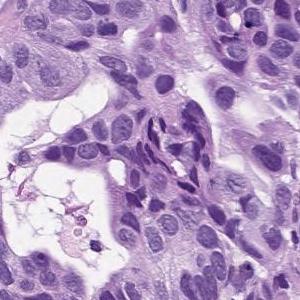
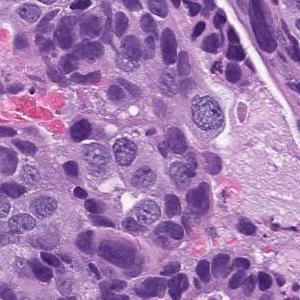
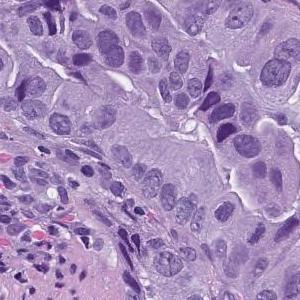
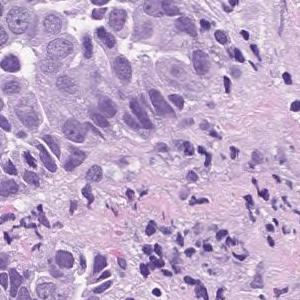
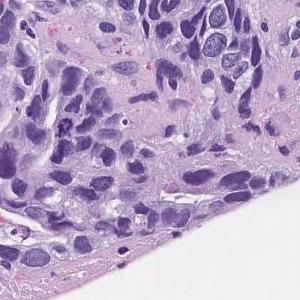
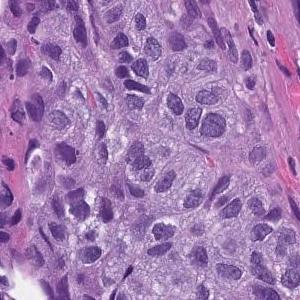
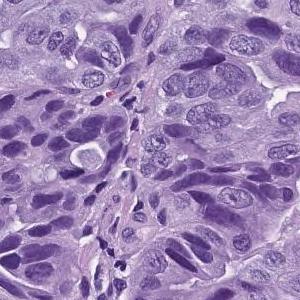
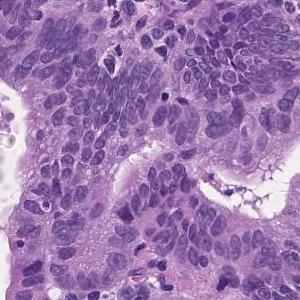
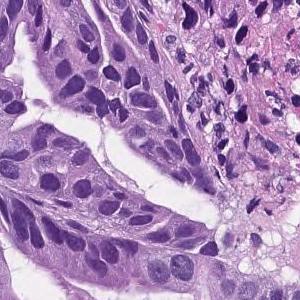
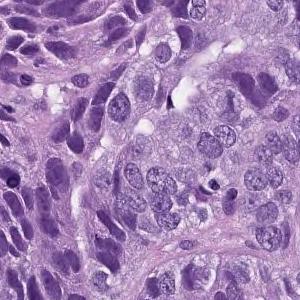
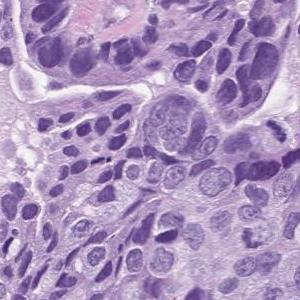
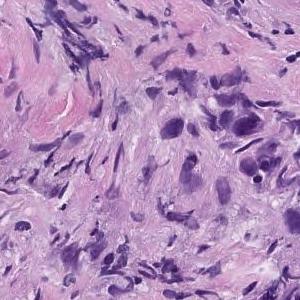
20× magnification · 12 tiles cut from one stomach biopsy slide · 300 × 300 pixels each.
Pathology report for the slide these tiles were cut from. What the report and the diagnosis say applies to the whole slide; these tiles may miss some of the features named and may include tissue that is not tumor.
In the superficial epithelium, tumor tissue that invades by forming medium-sized to small, irregular ducts is observed. moderately differentiated tubular adenocarcinoma.
